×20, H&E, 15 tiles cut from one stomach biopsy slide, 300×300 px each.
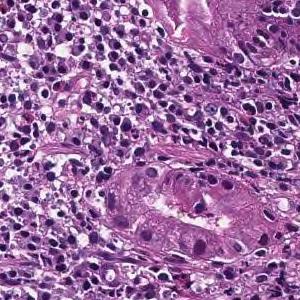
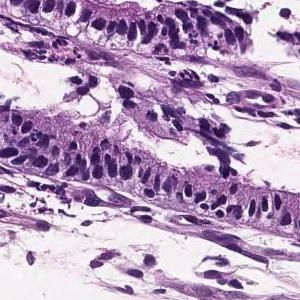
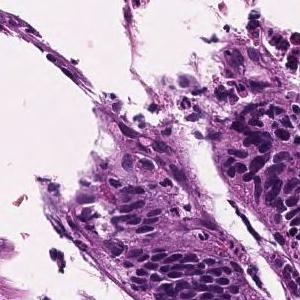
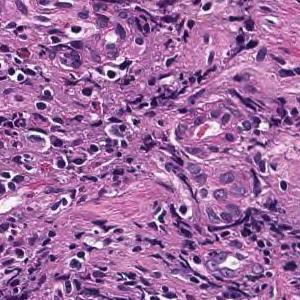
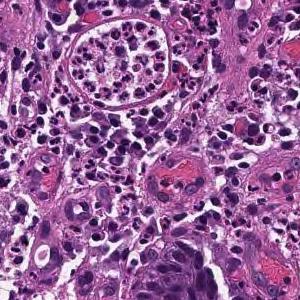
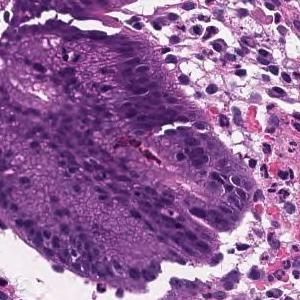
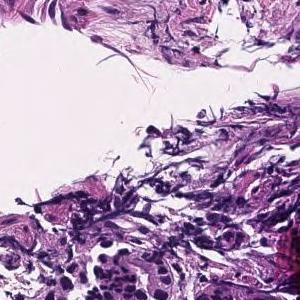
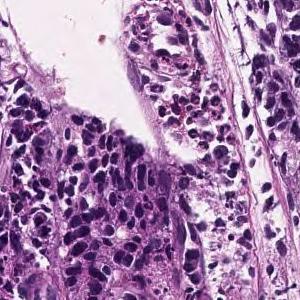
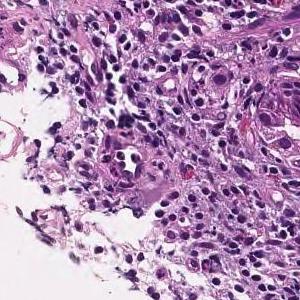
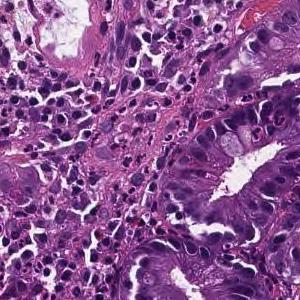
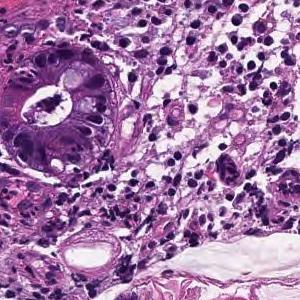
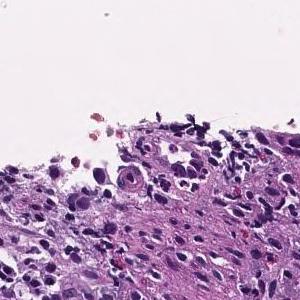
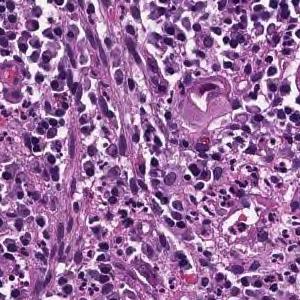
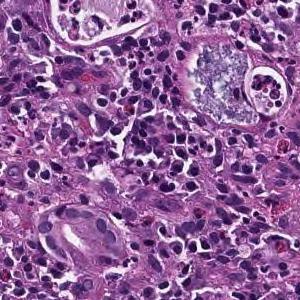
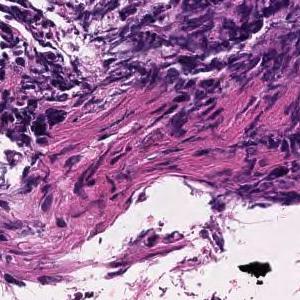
Diagnostic report for the slide these tiles come from. Both the report and the diagnosis are for the whole slide: these tiles need not show every feature named, and some of the tissue shown may not be tumor.
On the superficial epithelium, tumor tissue consisting of large, irregular glandular ducts partially fused and infiltrated is observed. Well to moderately differentiated tubular adenocarcinoma (well differentiated tubular adenocarcinoma, moderately differentiated tubular adenocarcinoma)
Histologic type: Well to moderately differentiated tubular adenocarcinoma.
